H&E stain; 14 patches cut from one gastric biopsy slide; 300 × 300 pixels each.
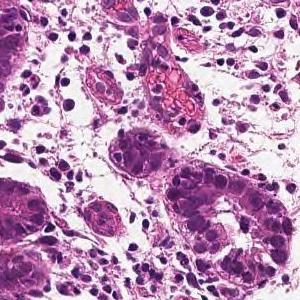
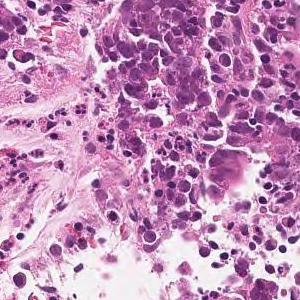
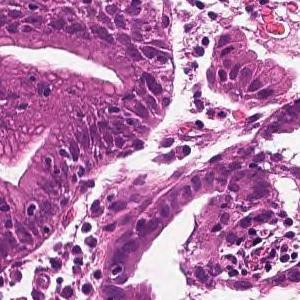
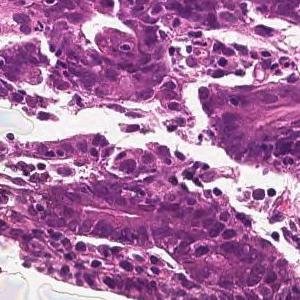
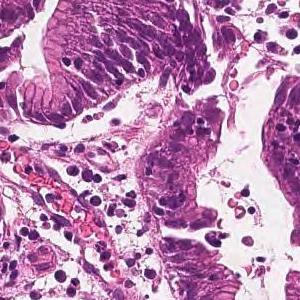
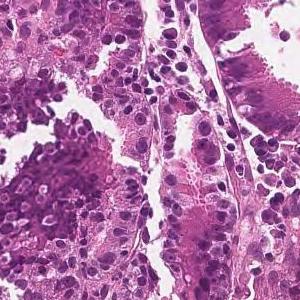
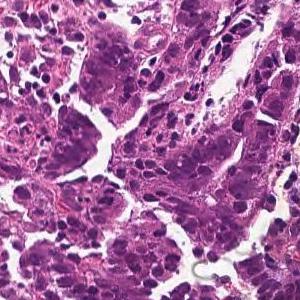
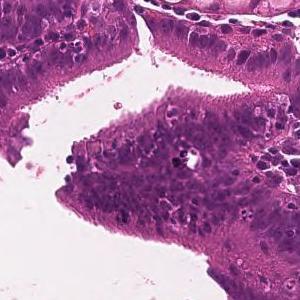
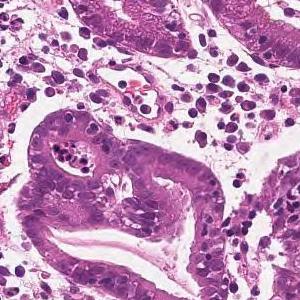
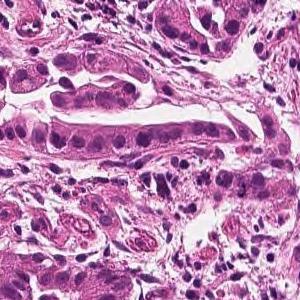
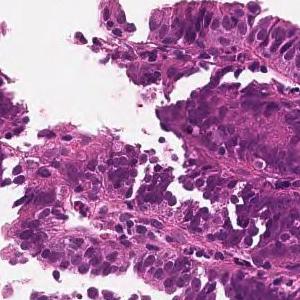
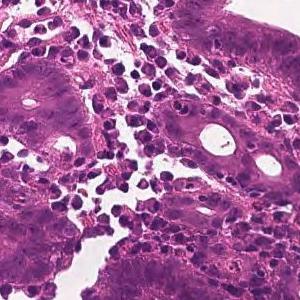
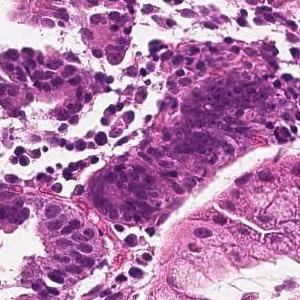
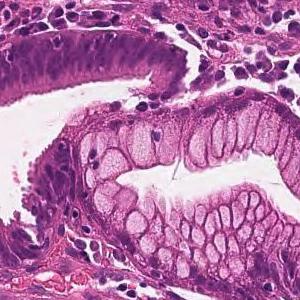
Report on the slide these tiles come from. The report describes the whole slide, diagnosis included: not every finding it names need appear in these tiles, which may also show non-tumor tissue.
On the superficial epithelium, tumor tissue is found in which medium-sized irregular gland ducts fuse with each other and infiltrate. moderately differentiated tubular adenocarcinoma
